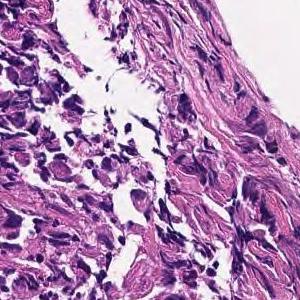
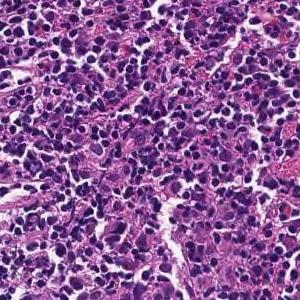
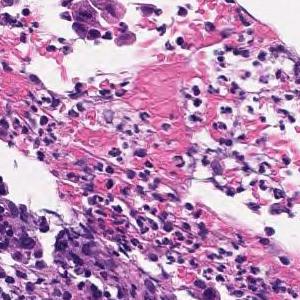
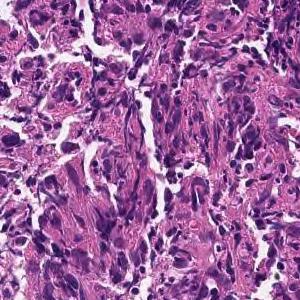
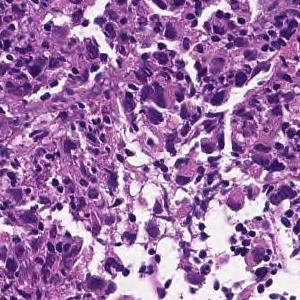
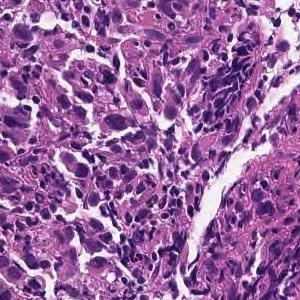
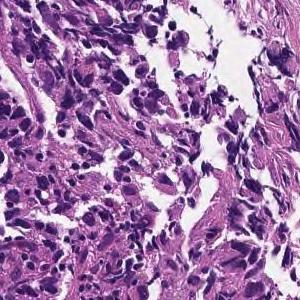
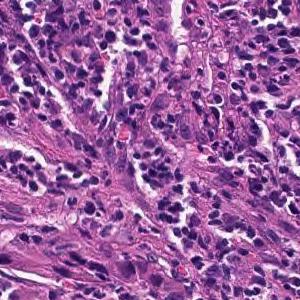
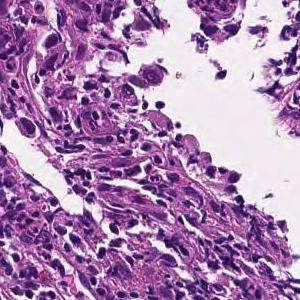
9 patches cut from one gastric biopsy slide.
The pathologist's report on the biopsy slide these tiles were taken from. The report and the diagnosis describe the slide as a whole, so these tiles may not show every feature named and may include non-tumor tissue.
The superficial epithelium shows a large sheet-like shape, and some tumor tissue infiltrates with small irregular ducts. Poorly differentiated adenocarcinoma, solid-type (poorly differentiated adenocarcinoma, solid type)
Subtype: Poorly differentiated adenocarcinoma, solid type. This name comes from the Japanese Classification of Gastric Carcinoma; the WHO 2019 classification calls it tubular adenocarcinoma, poorly differentiated.
